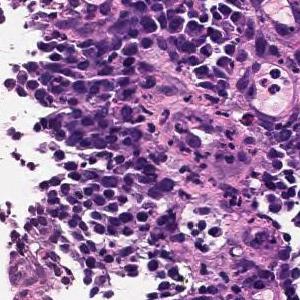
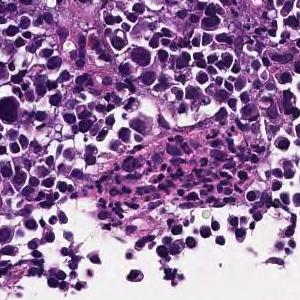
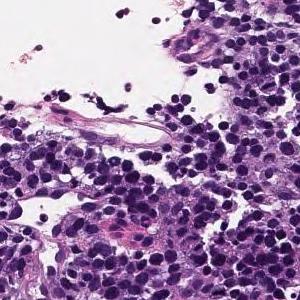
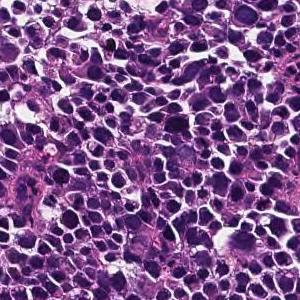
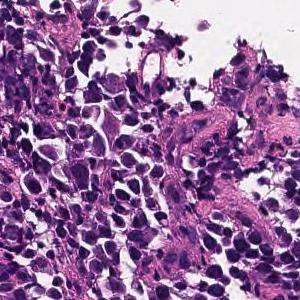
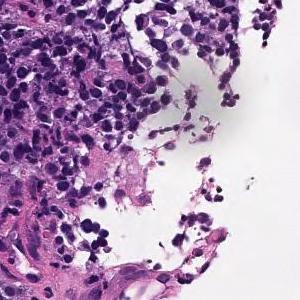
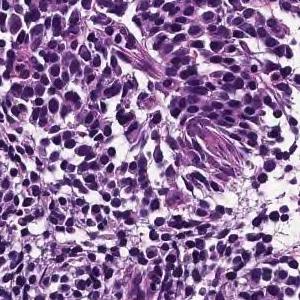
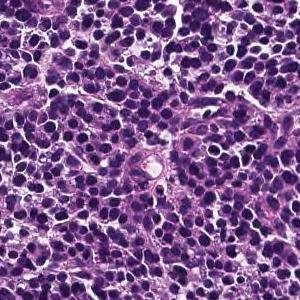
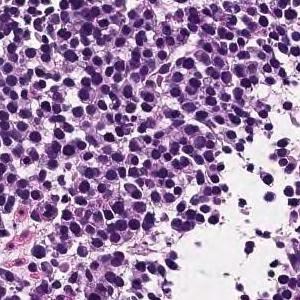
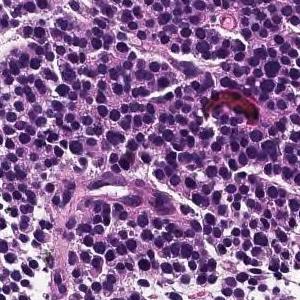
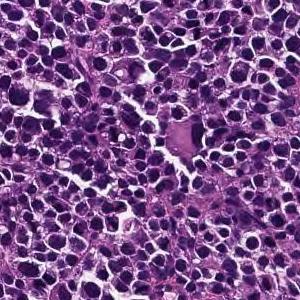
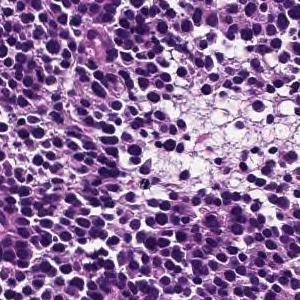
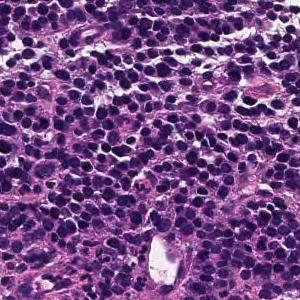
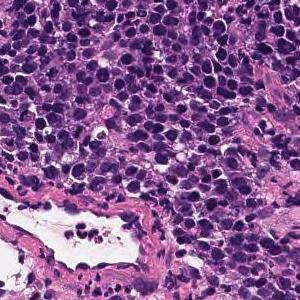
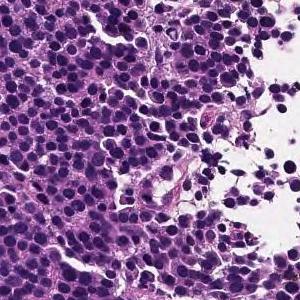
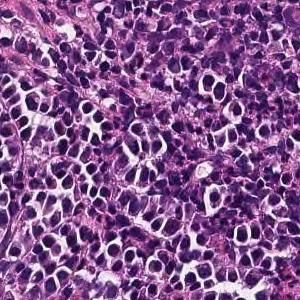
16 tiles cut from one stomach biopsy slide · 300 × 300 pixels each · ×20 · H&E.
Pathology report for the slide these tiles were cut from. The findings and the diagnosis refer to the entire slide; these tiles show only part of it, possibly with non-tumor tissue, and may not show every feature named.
Large sheet-like or diffusely infiltrating tumor tissue is found in the superficial epithelium. Poorly differentiated adenocarcinoma, solid-type
Subtype: Poorly differentiated adenocarcinoma, solid type (Japanese Classification of Gastric Carcinoma). The WHO 2019 equivalent is tubular adenocarcinoma, poorly differentiated.
